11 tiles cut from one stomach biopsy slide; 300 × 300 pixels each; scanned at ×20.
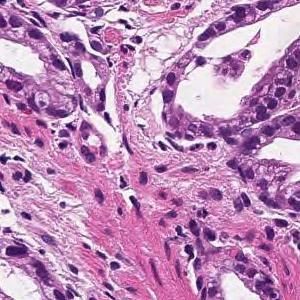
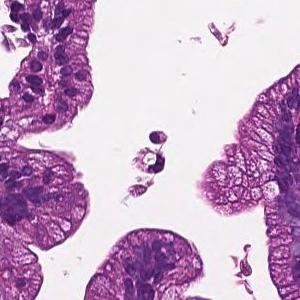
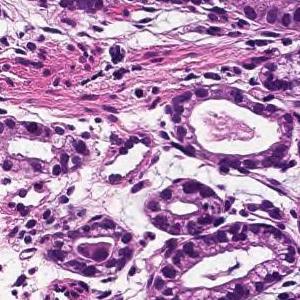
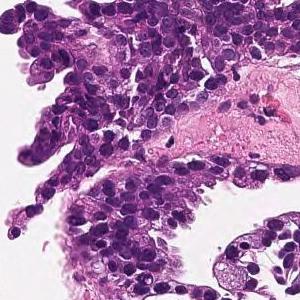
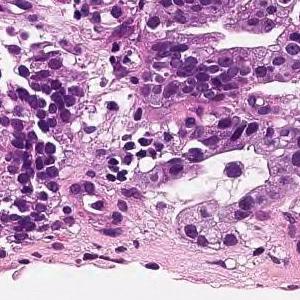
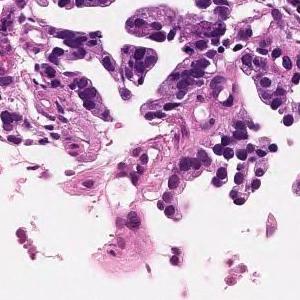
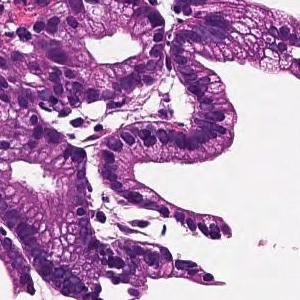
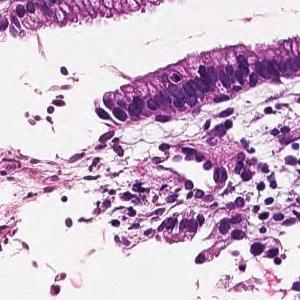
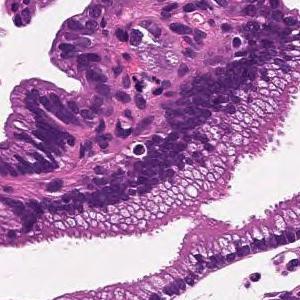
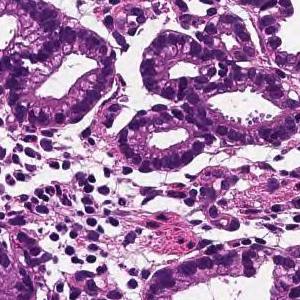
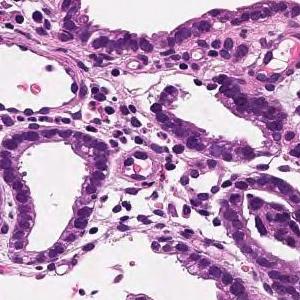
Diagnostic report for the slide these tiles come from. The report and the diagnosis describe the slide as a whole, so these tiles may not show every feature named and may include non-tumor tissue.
On the superficial epithelium, tumor tissue that infiltrates by forming medium-sized papillary or small irregular ducts is observed. Papillary adenocarcinoma
